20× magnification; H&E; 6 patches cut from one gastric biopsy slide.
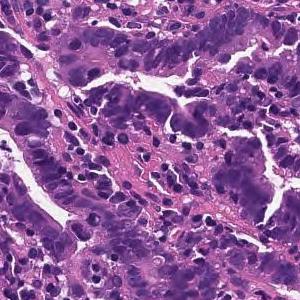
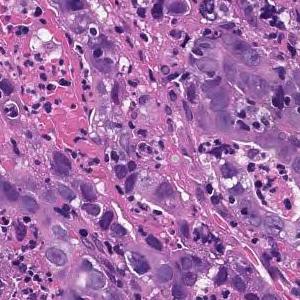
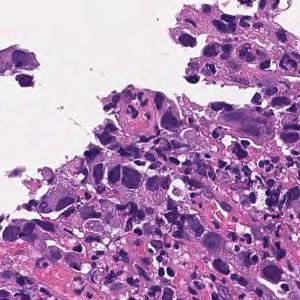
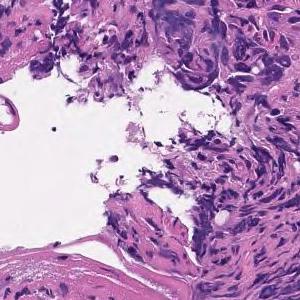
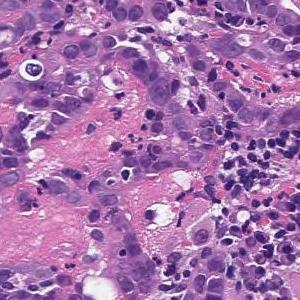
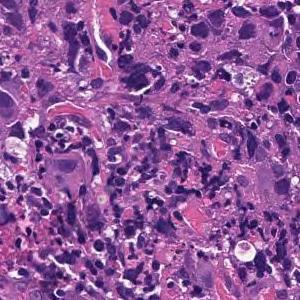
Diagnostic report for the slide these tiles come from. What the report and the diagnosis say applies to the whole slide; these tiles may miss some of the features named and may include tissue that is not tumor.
Tumor tissue consisting of cord-like or small, irregular glandular ducts fused and infiltrated is observed in the superficial epithelium. Poorly differentiated adenocarcinoma, non-solid type
The non-solid type named here is a Japanese Classification of Gastric Carcinoma category.
